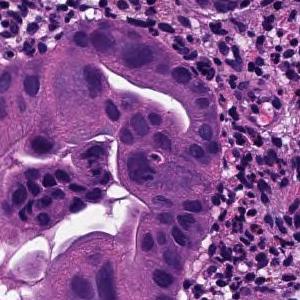
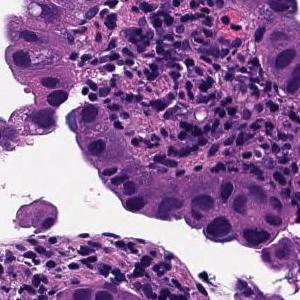
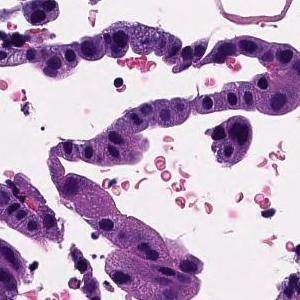
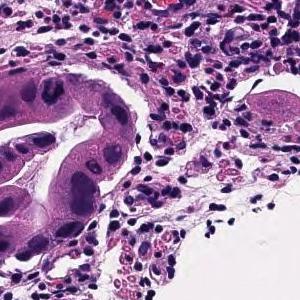
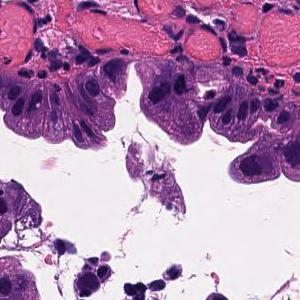
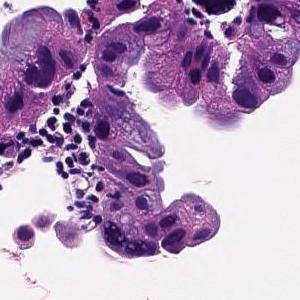
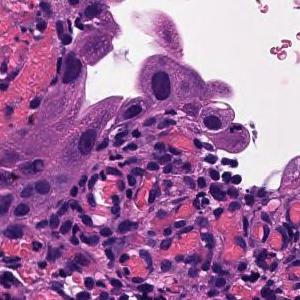
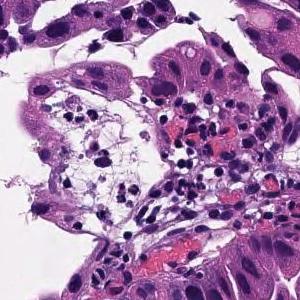
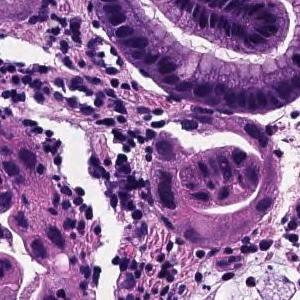
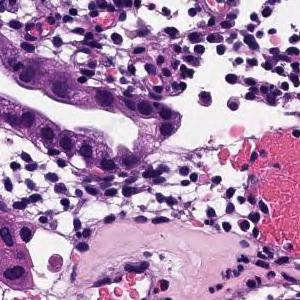
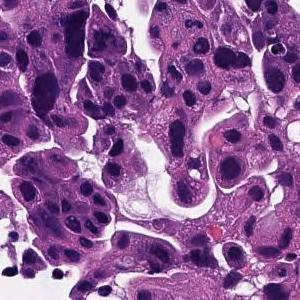
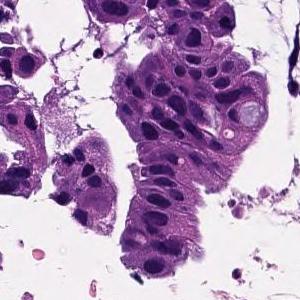
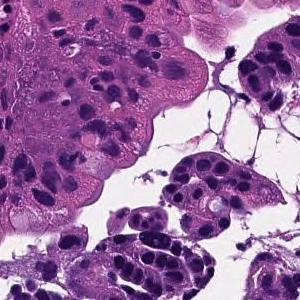
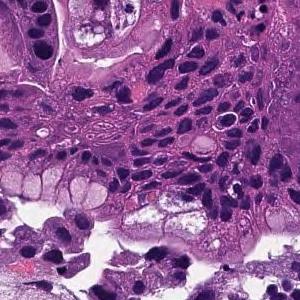
×20, hematoxylin and eosin stain, 14 image tiles from a single gastric biopsy slide, each 300 × 300 pixels.
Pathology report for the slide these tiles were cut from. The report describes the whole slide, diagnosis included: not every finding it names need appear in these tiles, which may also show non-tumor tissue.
Tumor tissue consisting of large papillary structures is found in the superficial epithelium. Papillary adenocarcinoma.
